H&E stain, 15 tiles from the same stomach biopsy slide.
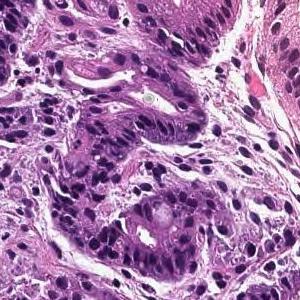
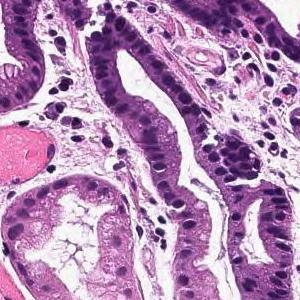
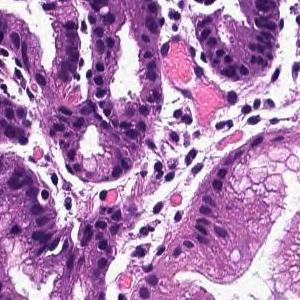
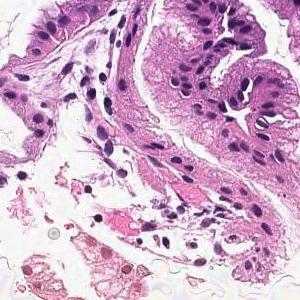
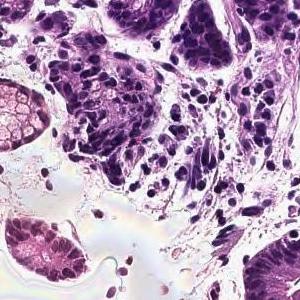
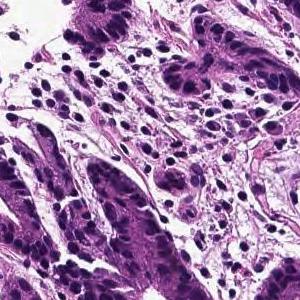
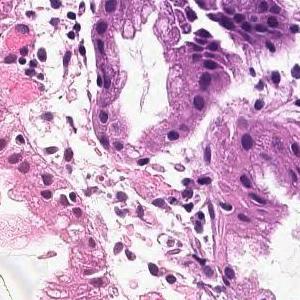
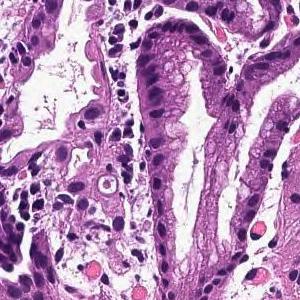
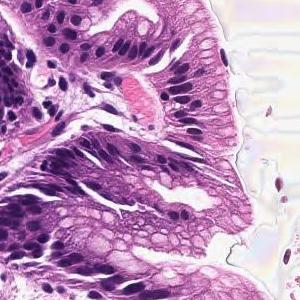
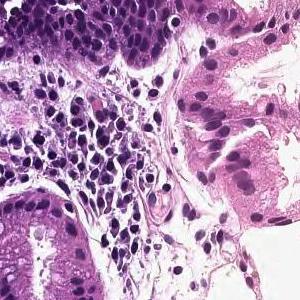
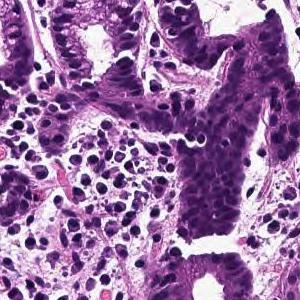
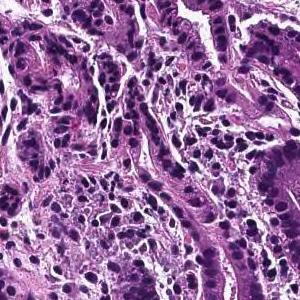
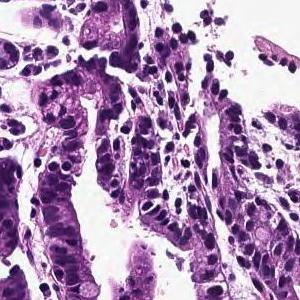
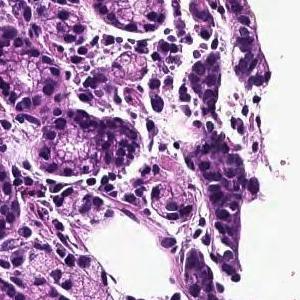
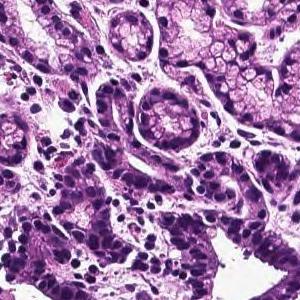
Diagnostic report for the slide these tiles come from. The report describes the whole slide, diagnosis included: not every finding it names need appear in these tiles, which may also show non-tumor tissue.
In the superficial epithelium, tumor tissue that invades by forming medium-sized to small, irregular ducts is observed. moderately differentiated tubular adenocarcinoma.
